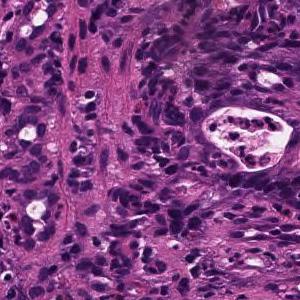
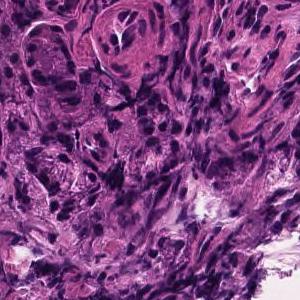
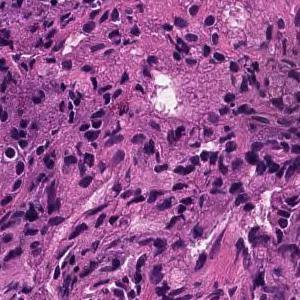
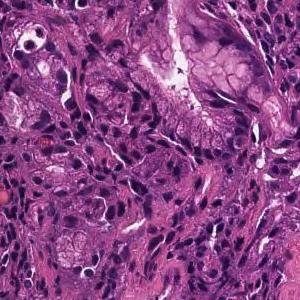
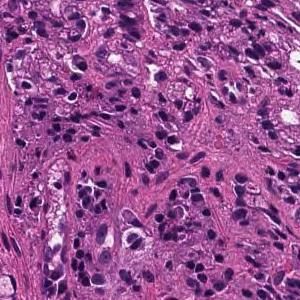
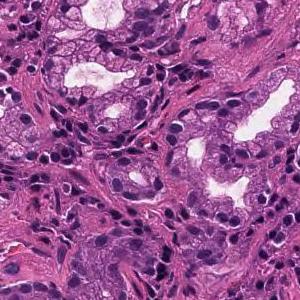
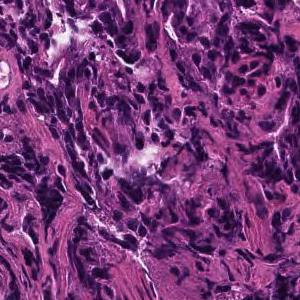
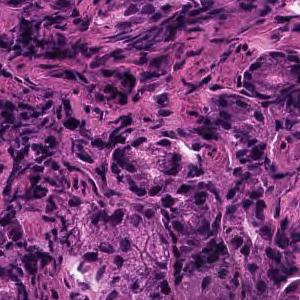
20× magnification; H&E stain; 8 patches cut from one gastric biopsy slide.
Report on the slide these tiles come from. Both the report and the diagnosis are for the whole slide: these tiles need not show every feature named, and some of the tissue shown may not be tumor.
In the superficial epithelium, tumor tissue that invades by forming medium-sized to small, irregular ducts is observed. moderately differentiated tubular adenocarcinoma.
